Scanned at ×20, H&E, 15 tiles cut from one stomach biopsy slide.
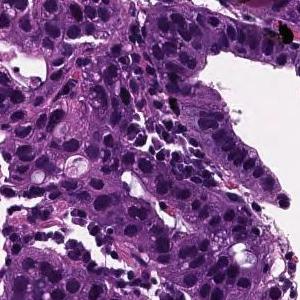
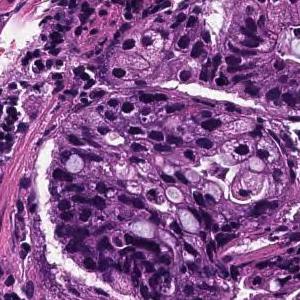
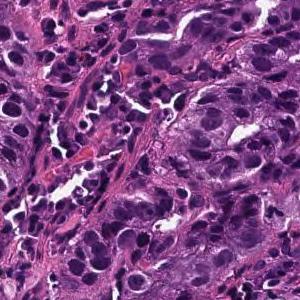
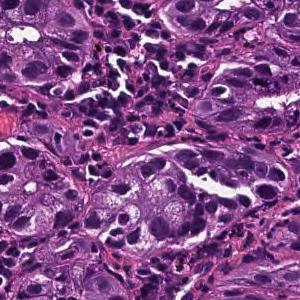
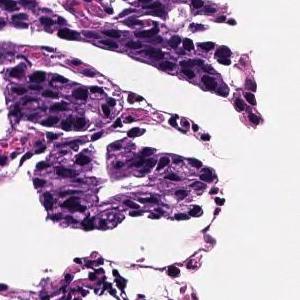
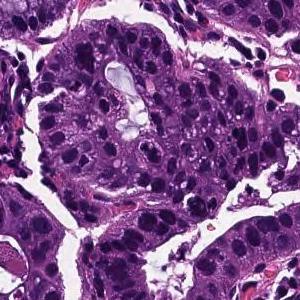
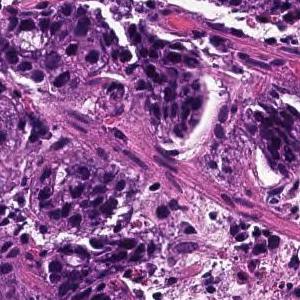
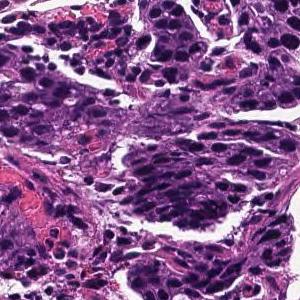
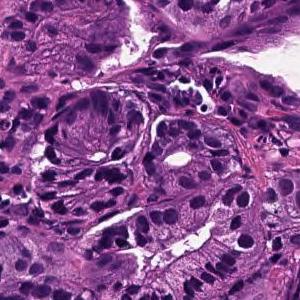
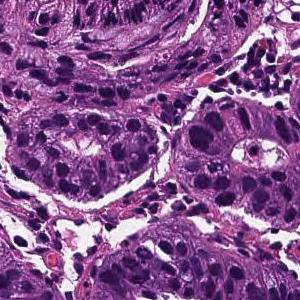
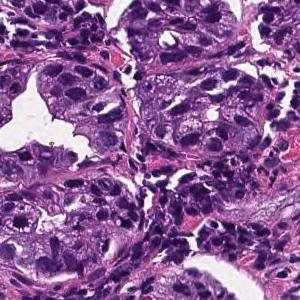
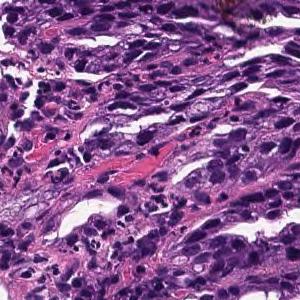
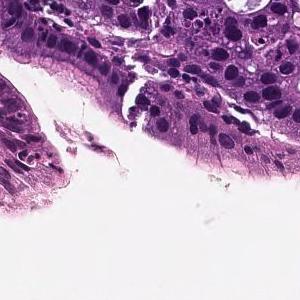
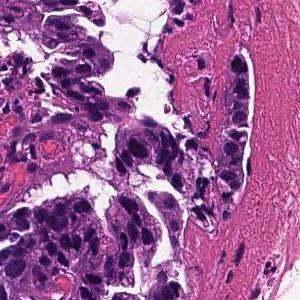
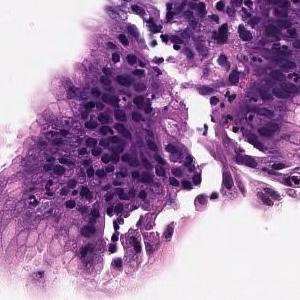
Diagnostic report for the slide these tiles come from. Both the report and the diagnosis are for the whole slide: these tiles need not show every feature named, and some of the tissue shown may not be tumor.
In the superficial epithelium, tumor tissue that invades by forming medium-sized to small, irregular ducts is observed. moderately differentiated tubular adenocarcinoma.
